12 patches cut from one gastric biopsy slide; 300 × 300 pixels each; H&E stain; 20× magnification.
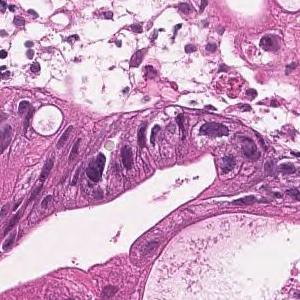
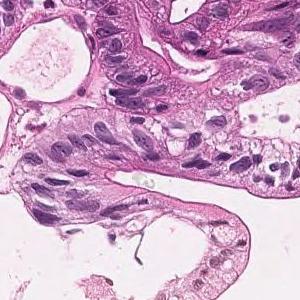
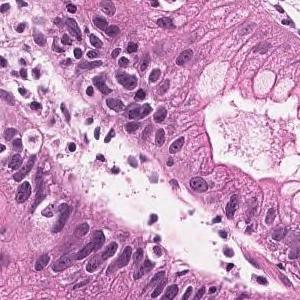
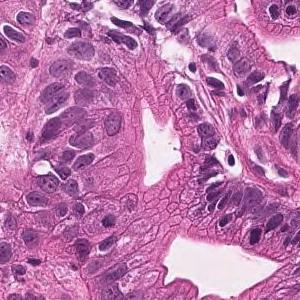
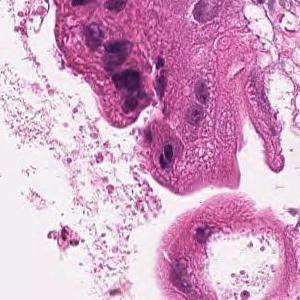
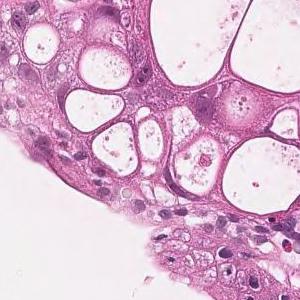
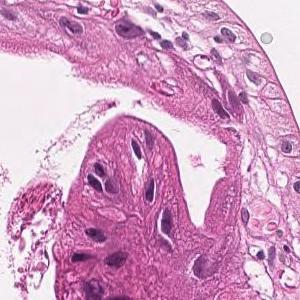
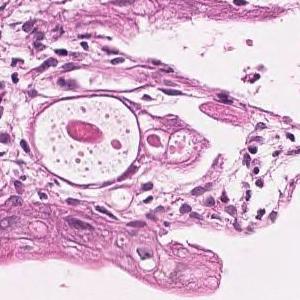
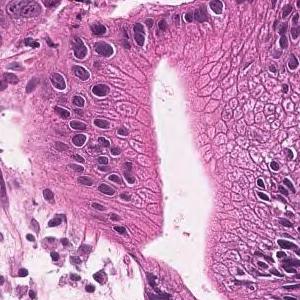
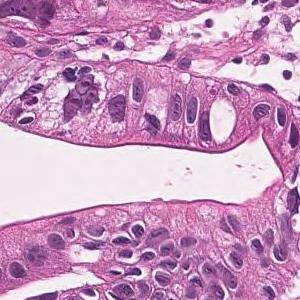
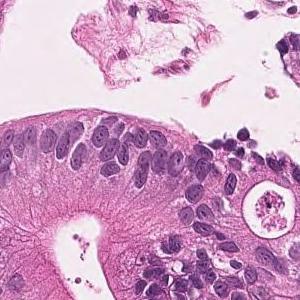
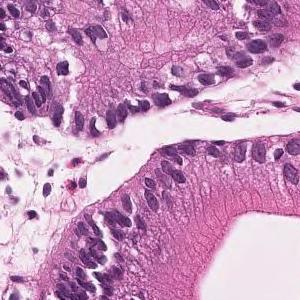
Pathology report for the biopsy slide these tiles were cut from. The findings and the diagnosis refer to the entire slide; these tiles show only part of it, possibly with non-tumor tissue, and may not show every feature named.
On the superficial epithelium, tumor tissue that infiltrates by forming medium-sized papillary or small irregular ducts is observed. Papillary adenocarcinoma
